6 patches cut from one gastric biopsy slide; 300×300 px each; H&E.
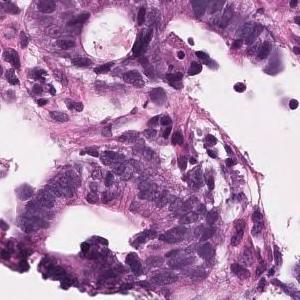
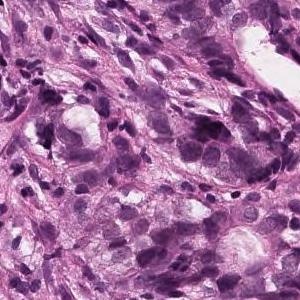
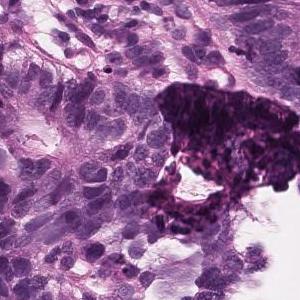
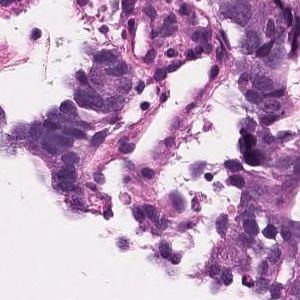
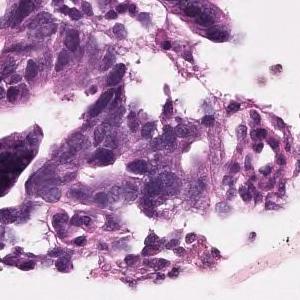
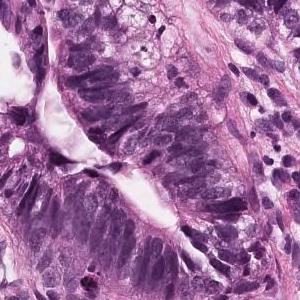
Diagnostic report for the slide these tiles come from. The report describes the whole slide, diagnosis included: not every finding it names need appear in these tiles, which may also show non-tumor tissue.
On the superficial epithelium, tumor tissue consisting of large, irregular glandular ducts partially fused and infiltrated is observed. Well to moderately differentiated tubular adenocarcinoma (well differentiated tubular adenocarcinoma, moderately differentiated tubular adenocarcinoma)
Tumor subtype: well to moderately differentiated tubular adenocarcinoma.
